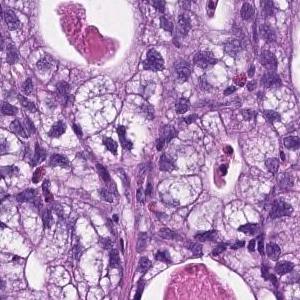
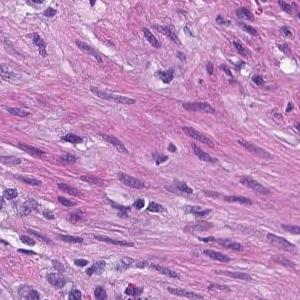
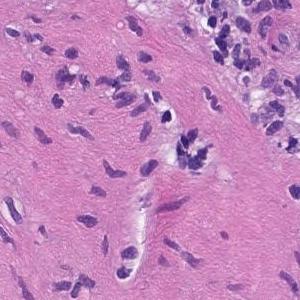
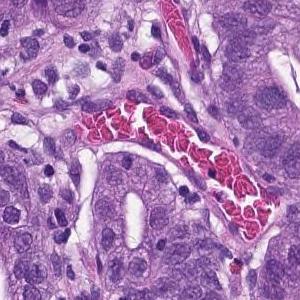
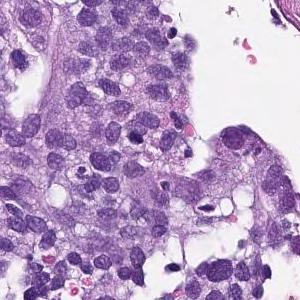
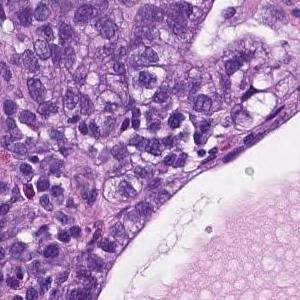
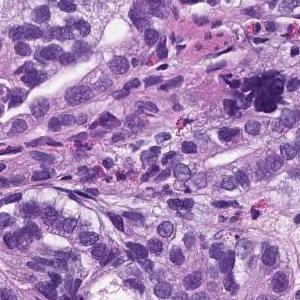
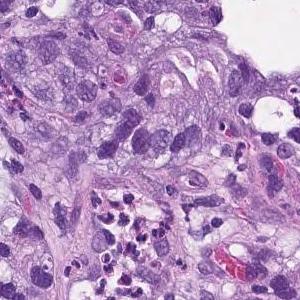
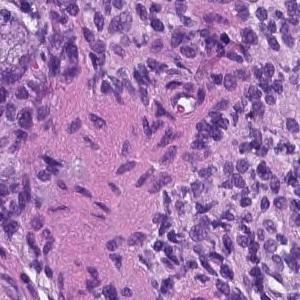
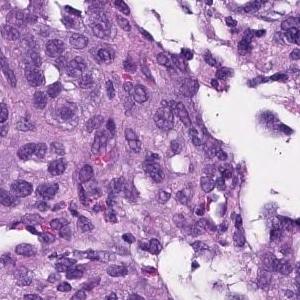
10 tiles cut from one stomach biopsy slide; H&E stain; ×20.
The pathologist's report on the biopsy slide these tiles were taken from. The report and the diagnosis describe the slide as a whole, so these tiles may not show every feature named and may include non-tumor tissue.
From the superficial epithelium to the muscularis mucosae, tumor tissue consisting of medium-sized and irregular glandular ducts infiltrating is observed. Well differentiated tubular adenocarcinoma
